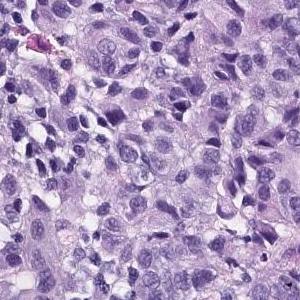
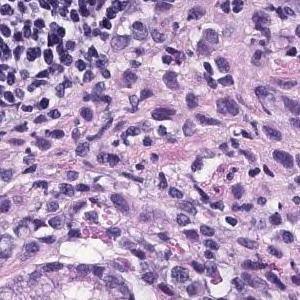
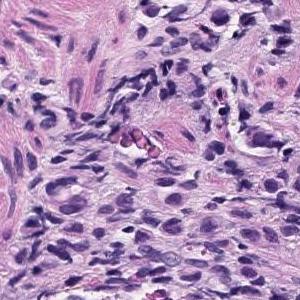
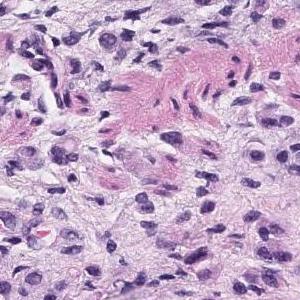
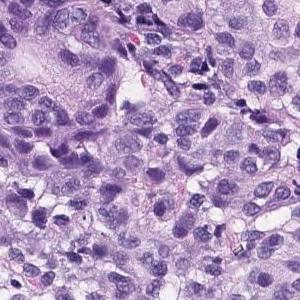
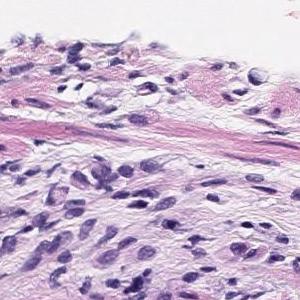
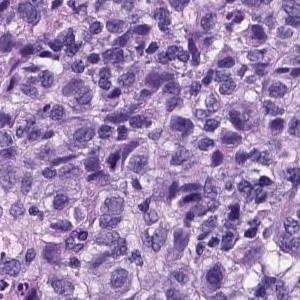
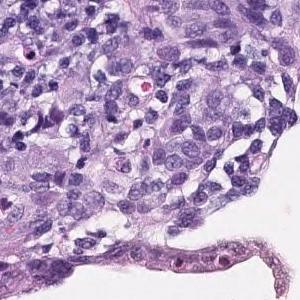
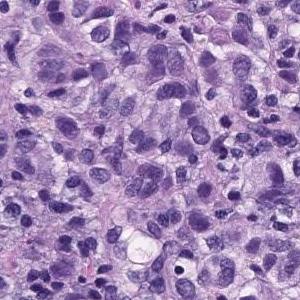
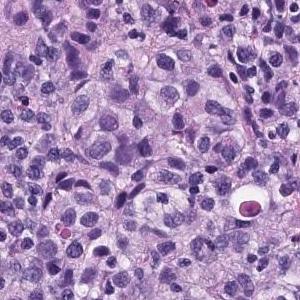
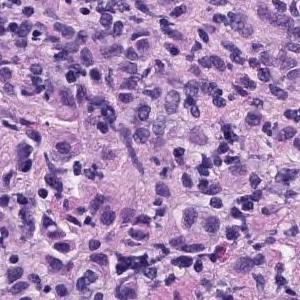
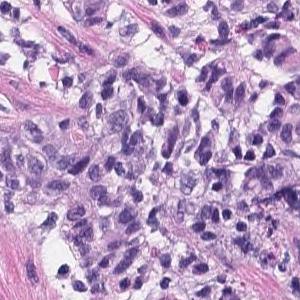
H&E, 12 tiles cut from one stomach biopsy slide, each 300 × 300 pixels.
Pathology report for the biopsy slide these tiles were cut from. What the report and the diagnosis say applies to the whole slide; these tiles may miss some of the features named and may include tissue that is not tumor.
There are medium-sized atypical cells with marked nuclear swelling and increased N/C ratio, which grow into solid or isolated scattered cells. Poorly differentiated adenocarcinoma
Classified as poorly differentiated adenocarcinoma, solid type. This name comes from the Japanese Classification of Gastric Carcinoma; the WHO 2019 classification calls it tubular adenocarcinoma, poorly differentiated.
